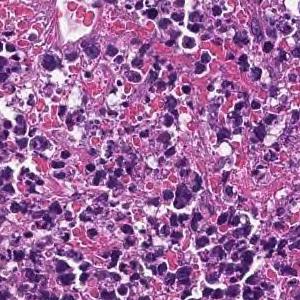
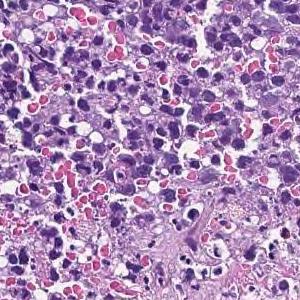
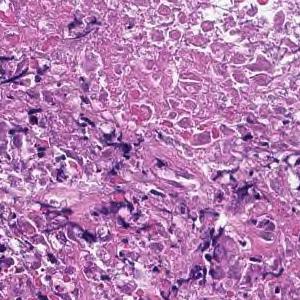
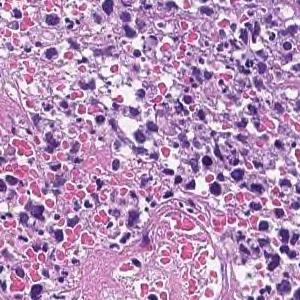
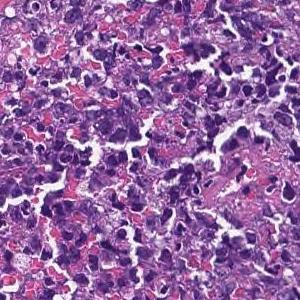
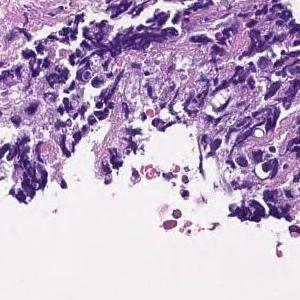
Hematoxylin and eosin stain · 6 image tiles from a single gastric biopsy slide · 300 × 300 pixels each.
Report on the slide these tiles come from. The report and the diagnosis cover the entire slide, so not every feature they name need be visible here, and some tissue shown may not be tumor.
Most are composed of coagulative necrotic tissue, but some show a large sheet-like shape, and some show tumor tissue infiltrating with a small cord-like structure. Poorly differentiated adenocarcinoma, solid-type
Tumor subtype: poorly differentiated adenocarcinoma, solid type, a category of the Japanese Classification of Gastric Carcinoma; in the WHO 2019 classification it is tubular adenocarcinoma, poorly differentiated.
